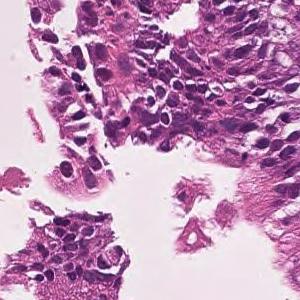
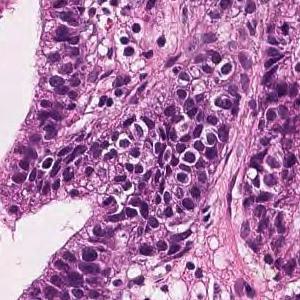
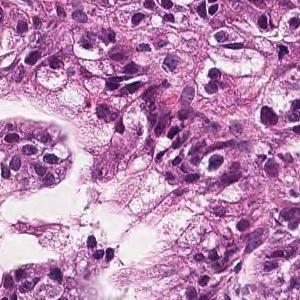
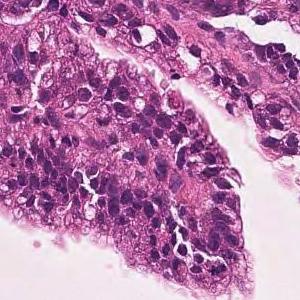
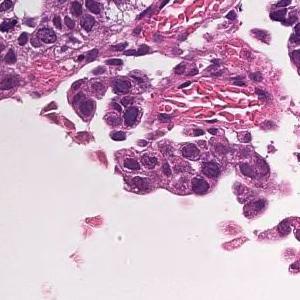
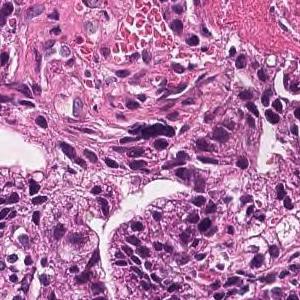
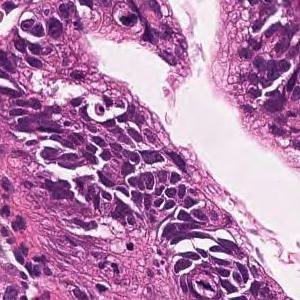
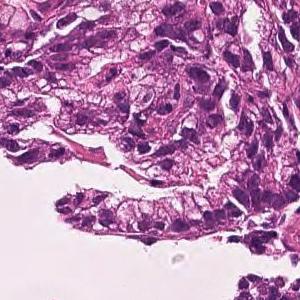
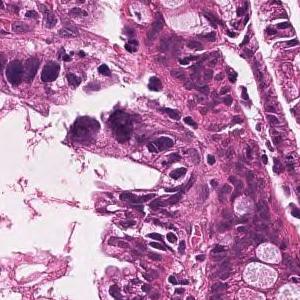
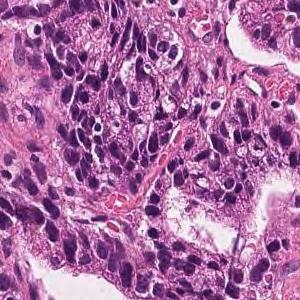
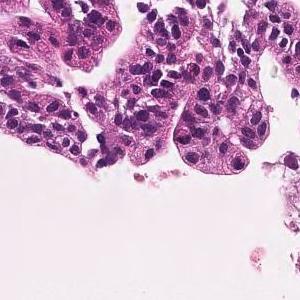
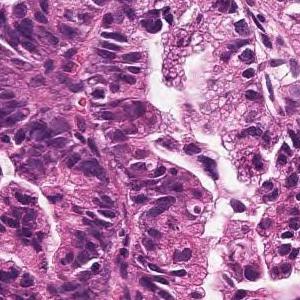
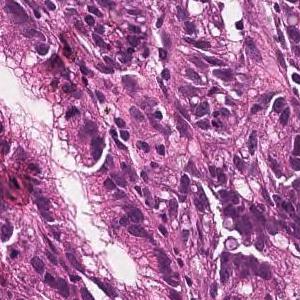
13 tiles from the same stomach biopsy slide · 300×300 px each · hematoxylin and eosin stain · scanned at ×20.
Report on the slide these tiles come from. The report describes the whole slide, diagnosis included: not every finding it names need appear in these tiles, which may also show non-tumor tissue.
On the superficial epithelium, tumor tissue consisting of large, irregular glandular ducts partially fused and infiltrated is observed. Well to moderately differentiated tubular adenocarcinoma (well differentiated tubular adenocarcinoma, moderately differentiated tubular adenocarcinoma)
Tumor subtype: well to moderately differentiated tubular adenocarcinoma.
